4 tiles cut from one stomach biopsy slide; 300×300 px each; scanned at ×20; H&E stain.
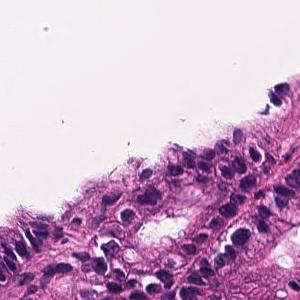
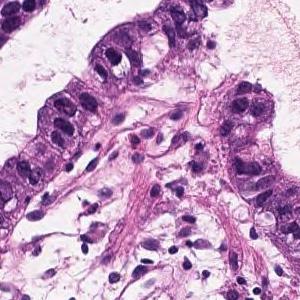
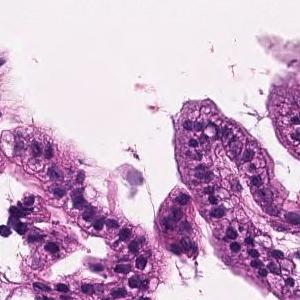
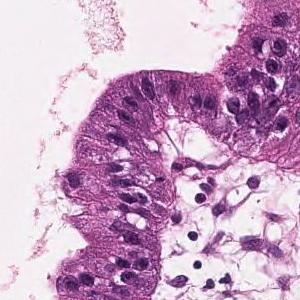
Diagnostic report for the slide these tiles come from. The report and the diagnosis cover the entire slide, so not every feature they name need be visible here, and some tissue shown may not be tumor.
On the superficial epithelium, tumor tissue that infiltrates by forming medium-sized papillary or small irregular ducts is observed. Papillary adenocarcinoma
